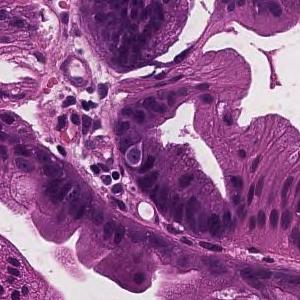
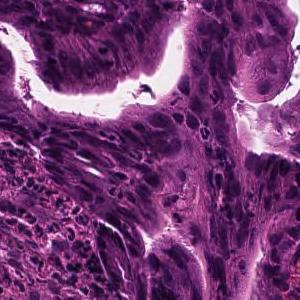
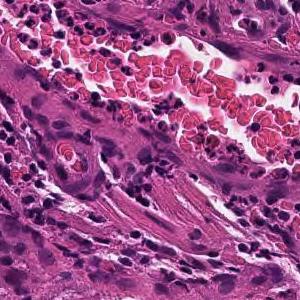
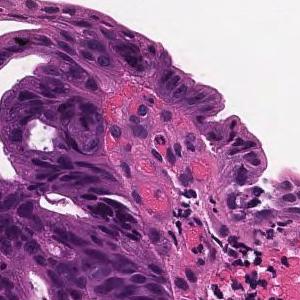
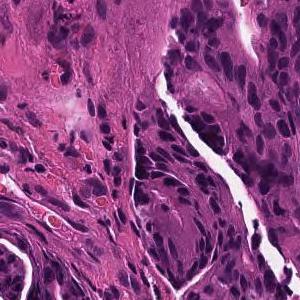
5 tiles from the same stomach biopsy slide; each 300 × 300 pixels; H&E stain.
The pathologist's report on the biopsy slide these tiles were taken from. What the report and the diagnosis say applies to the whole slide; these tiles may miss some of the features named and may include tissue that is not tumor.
Tumor cells are large, highly columnar, large club-shaped nuclei, and are associated with chromatin aggregation. Papillary adenocarcinoma.
